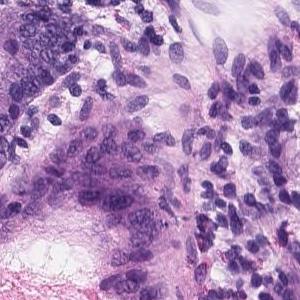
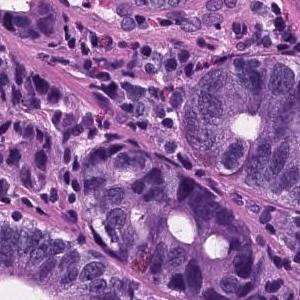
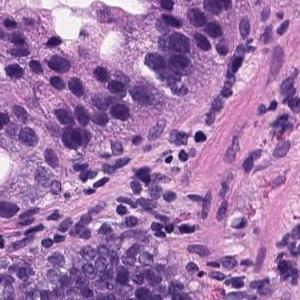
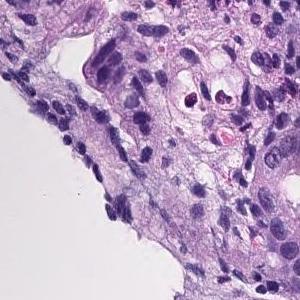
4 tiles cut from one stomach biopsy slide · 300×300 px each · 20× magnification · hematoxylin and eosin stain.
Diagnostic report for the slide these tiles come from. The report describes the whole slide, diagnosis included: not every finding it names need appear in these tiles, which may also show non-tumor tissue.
Tumor tissue consisting of medium-sized and irregular ducts is observed infiltrating in the superficial epithelium. Tumor cells are highly columnar, with nuclei aligned basolaterally and polarized. Well differentiated tubular adenocarcinoma.
